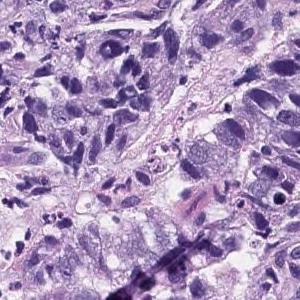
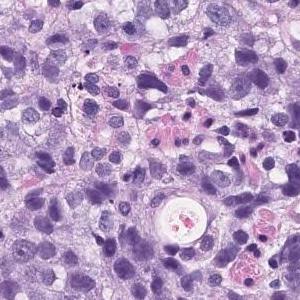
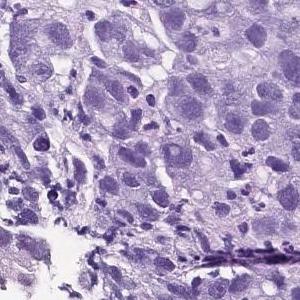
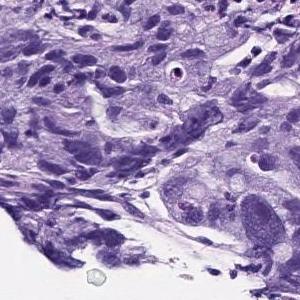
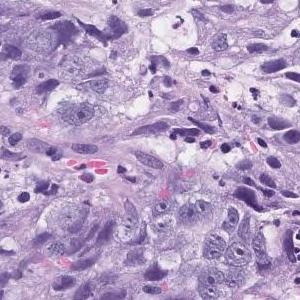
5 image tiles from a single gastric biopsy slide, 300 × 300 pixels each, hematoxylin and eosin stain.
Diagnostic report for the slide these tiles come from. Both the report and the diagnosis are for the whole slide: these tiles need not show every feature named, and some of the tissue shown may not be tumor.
Atypical l cells with atypical nuclei forming solid vesicles or small irregular atypical ducts that proliferate in a complex manner. poorly differentiated adenocarcinoma, solid type, moderately differentiated tubular adenocarcinoma
"Solid type" is a category of the Japanese Classification of Gastric Carcinoma; in the WHO 2019 classification it is tubular adenocarcinoma, poorly differentiated.
